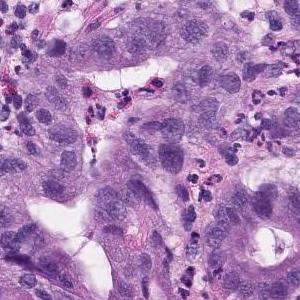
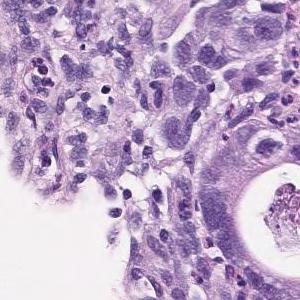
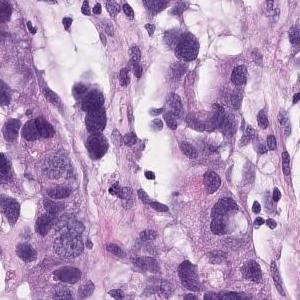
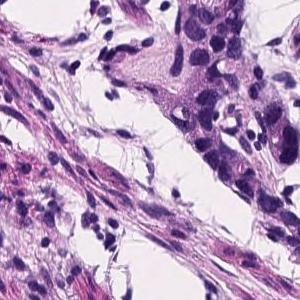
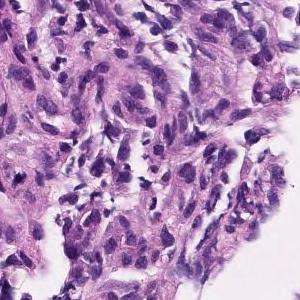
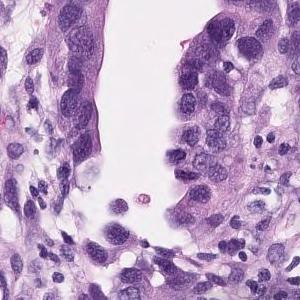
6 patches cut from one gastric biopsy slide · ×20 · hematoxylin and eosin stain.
Pathology report for the slide these tiles were cut from. The findings and the diagnosis refer to the entire slide; these tiles show only part of it, possibly with non-tumor tissue, and may not show every feature named.
Group 5, Adenocarcinoma. Moderately to poorly differentiated adenocarcinoma
